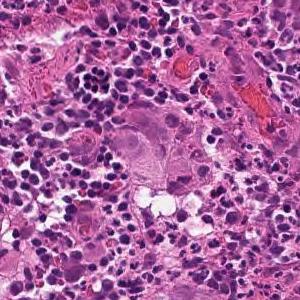
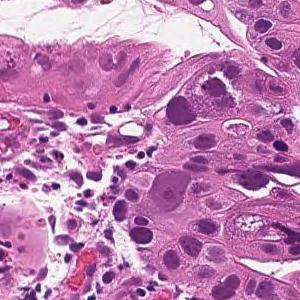
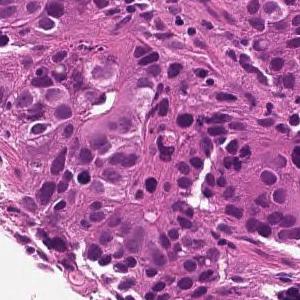
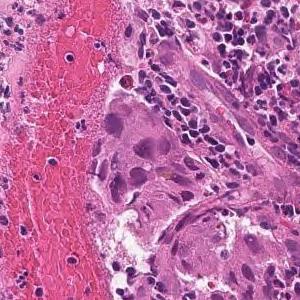
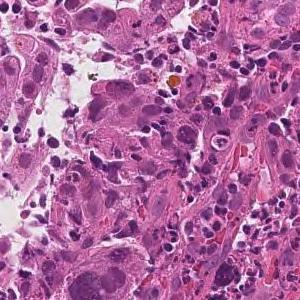
Hematoxylin and eosin stain, 5 tiles from the same stomach biopsy slide, each 300 × 300 pixels.
Report on the slide these tiles come from. The report and the diagnosis describe the slide as a whole, so these tiles may not show every feature named and may include non-tumor tissue.
Large sheet-like or diffusely infiltrating tumor tissue is found in the superficial epithelium. Poorly differentiated adenocarcinoma, solid-type
Tumor subtype: poorly differentiated adenocarcinoma, solid type, a category of the Japanese Classification of Gastric Carcinoma; in the WHO 2019 classification it is tubular adenocarcinoma, poorly differentiated.
